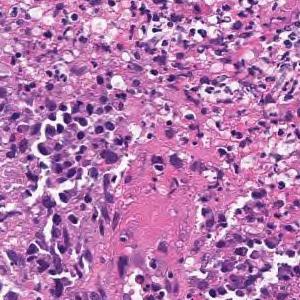
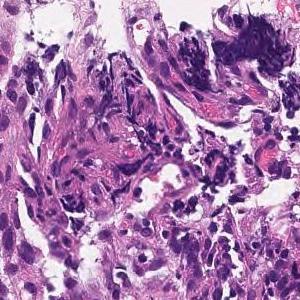
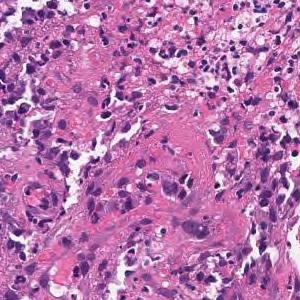
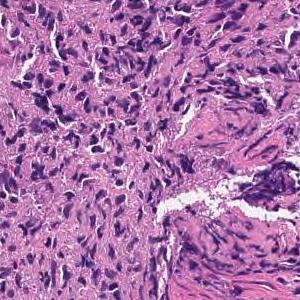
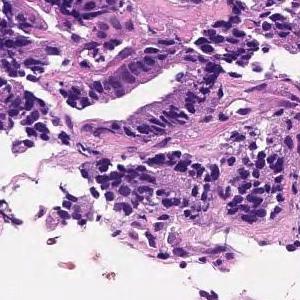
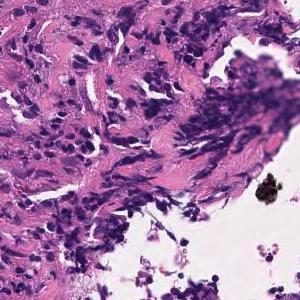
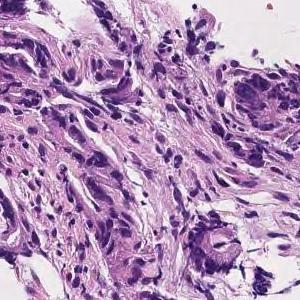
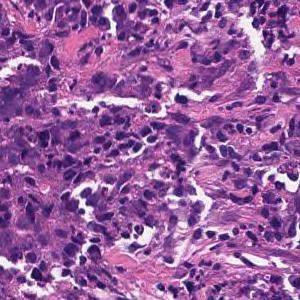
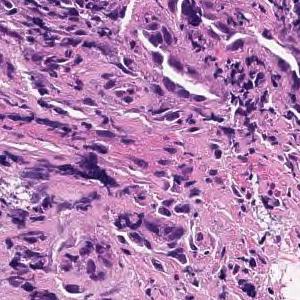
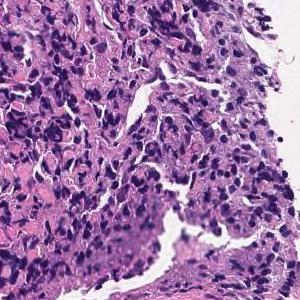
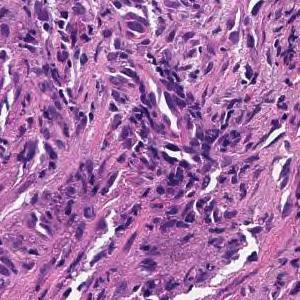
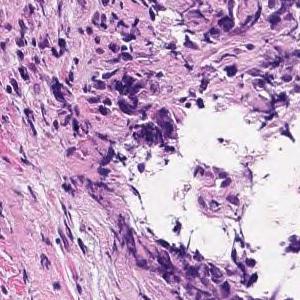
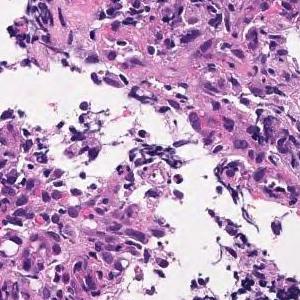
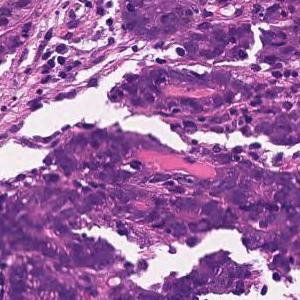
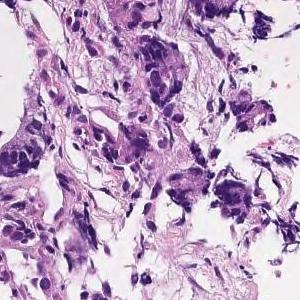
15 patches cut from one gastric biopsy slide, 300 × 300 pixels each, H&E stain, scanned at ×20.
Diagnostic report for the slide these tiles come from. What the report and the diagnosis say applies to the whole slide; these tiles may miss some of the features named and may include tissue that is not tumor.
Tumor tissue consisting of medium-sized, cord-like or irregular glandular infiltration is observed in the superficial epithelium. Poorly differentiated adenocarcinoma, non-solid type or moderately differentiated tubular adenocarcinoma
Histological subtype: Moderately to poorly differentiated adenocarcinoma.
The non-solid type named here is a Japanese Classification of Gastric Carcinoma category.
